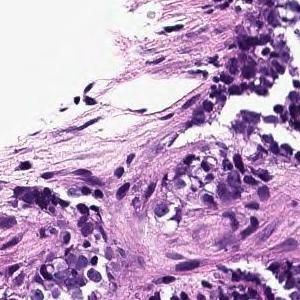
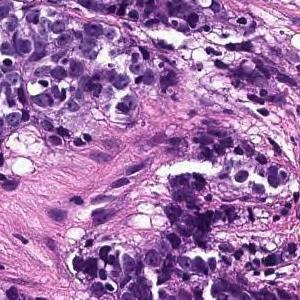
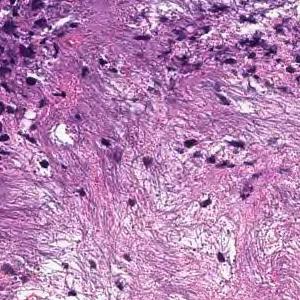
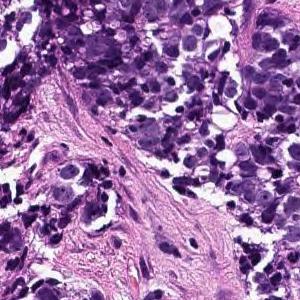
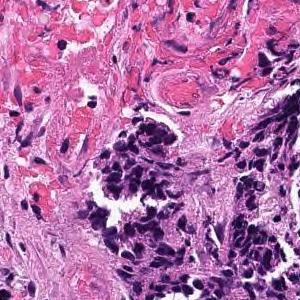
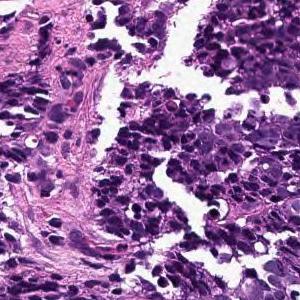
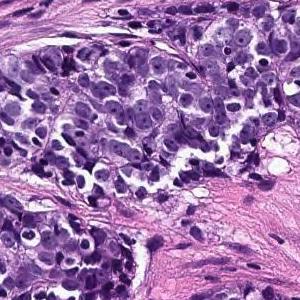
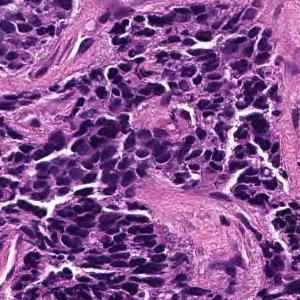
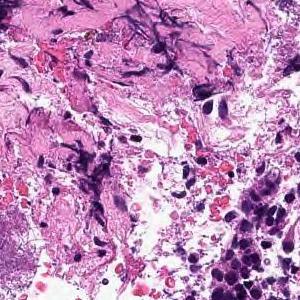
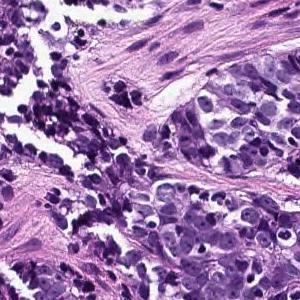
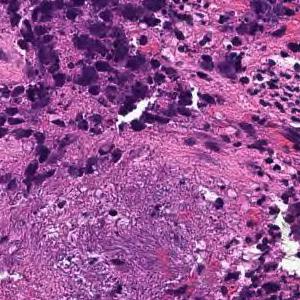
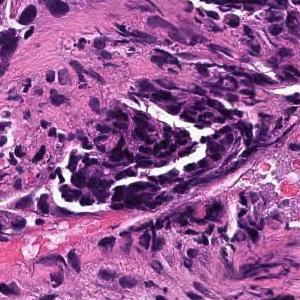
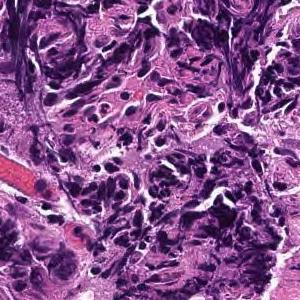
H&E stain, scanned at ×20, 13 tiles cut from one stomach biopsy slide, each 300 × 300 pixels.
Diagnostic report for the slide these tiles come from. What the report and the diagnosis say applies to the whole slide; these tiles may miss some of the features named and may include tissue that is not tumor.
The superficial epithelium shows a large sheet or alveolar shape, and tumor tissue infiltrating without irregular ducts is observed. Poorly differentiated adenocarcinoma, solid-type
Histological subtype: Poorly differentiated adenocarcinoma, solid type, a category of the Japanese Classification of Gastric Carcinoma; in the WHO 2019 classification it is tubular adenocarcinoma, poorly differentiated.
